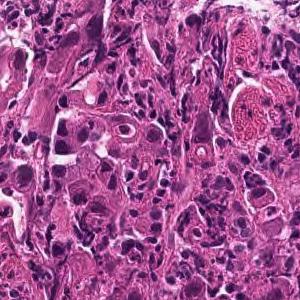
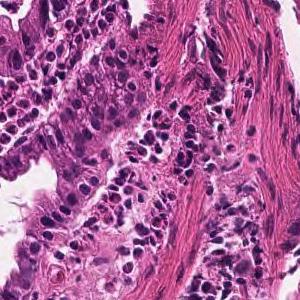
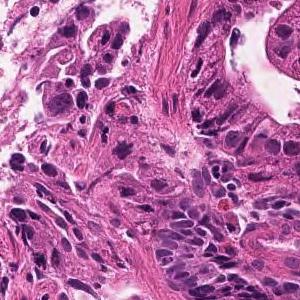
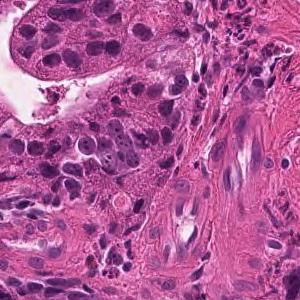
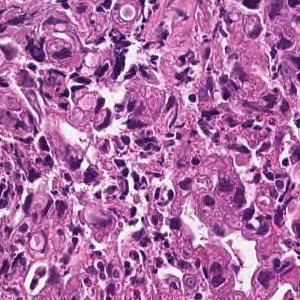
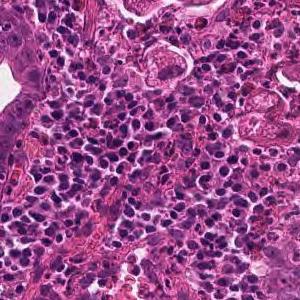
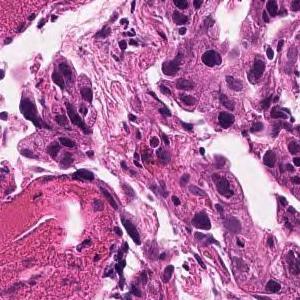
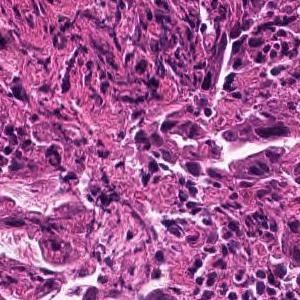
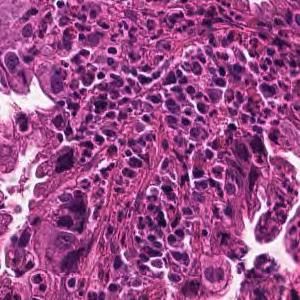
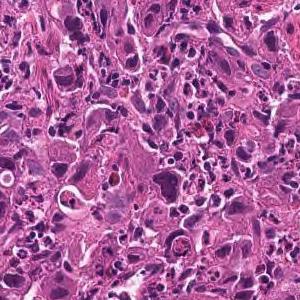
10 tiles cut from one stomach biopsy slide, 300 × 300 pixels each, scanned at ×20, hematoxylin and eosin stain.
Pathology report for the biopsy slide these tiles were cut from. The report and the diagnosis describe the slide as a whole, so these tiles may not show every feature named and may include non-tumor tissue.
Medium to small, irregular glandular ducts are formed in the superficial epithelium, and in some cases, the glandular ducts are fused to show solid alveolar lesions and infiltrating tumor tissue is observed. Moderately to poorly differentiated adenocarcinoma.
